Scanned at ×20, H&E, 12 tiles from the same stomach biopsy slide.
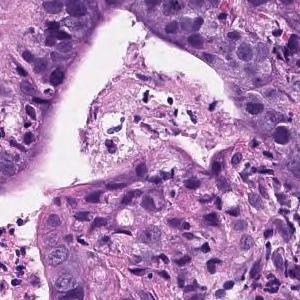
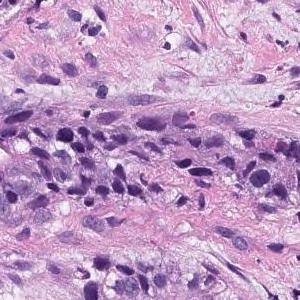
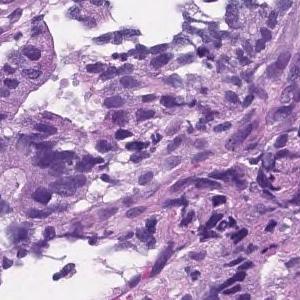
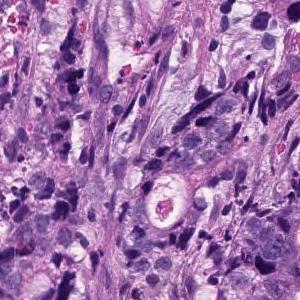
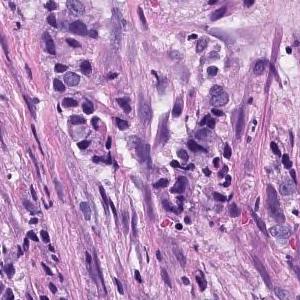
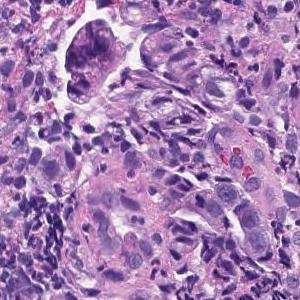
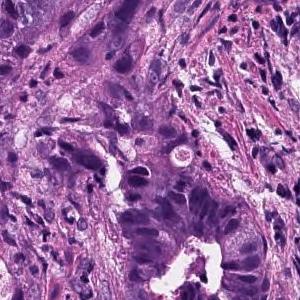
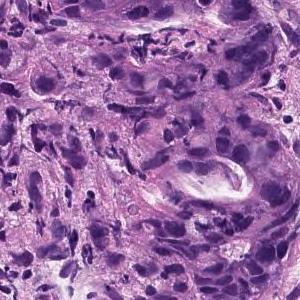
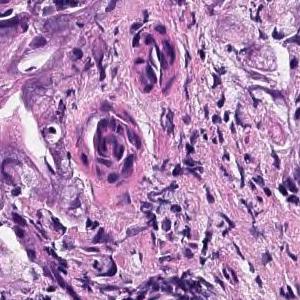
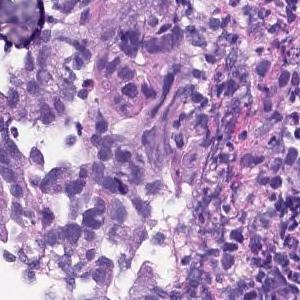
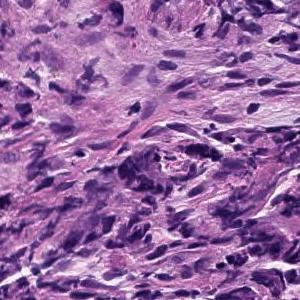
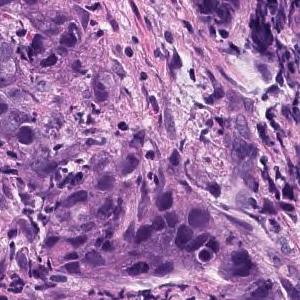
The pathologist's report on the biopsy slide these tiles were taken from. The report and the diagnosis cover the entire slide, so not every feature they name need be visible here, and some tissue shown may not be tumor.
Medium to small, irregular glandular ducts are formed in the superficial epithelium, and in some cases, the glandular ducts are fused to show solid alveolar lesions and infiltrating tumor tissue is observed. Moderately to poorly differentiated adenocarcinoma.
